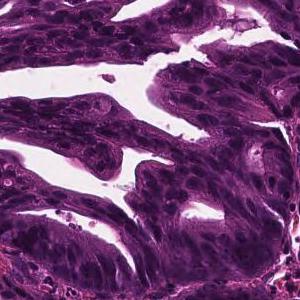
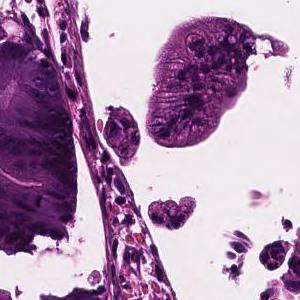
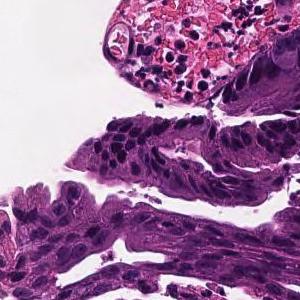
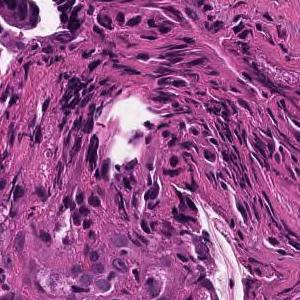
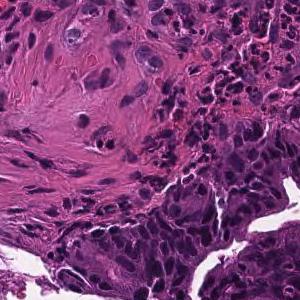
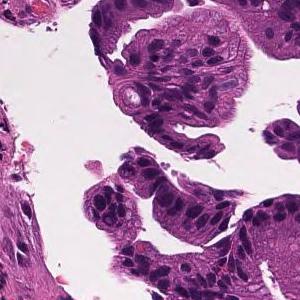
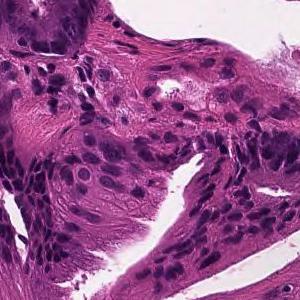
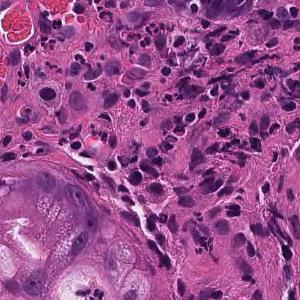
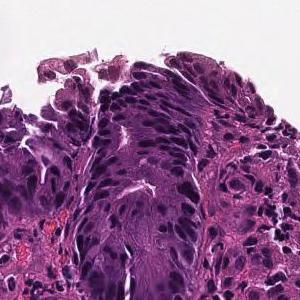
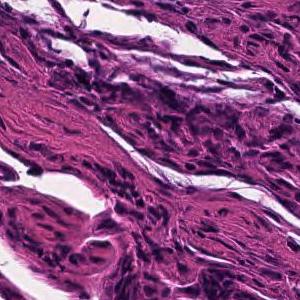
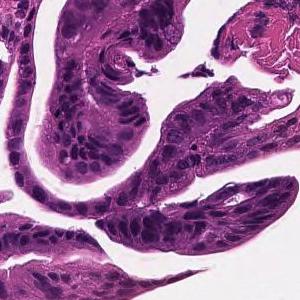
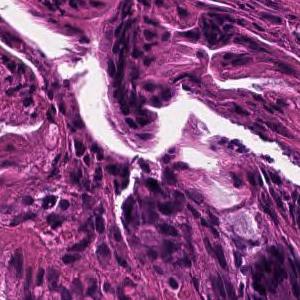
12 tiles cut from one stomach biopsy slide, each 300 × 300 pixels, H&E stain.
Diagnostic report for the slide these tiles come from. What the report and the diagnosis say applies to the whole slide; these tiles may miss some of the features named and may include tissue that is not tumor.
Tumor cells are large, highly columnar, large club-shaped nuclei, and are associated with chromatin aggregation. Papillary adenocarcinoma.
